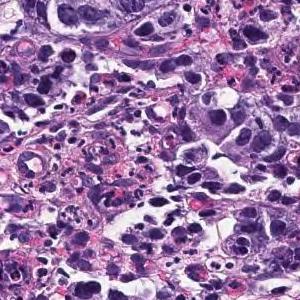
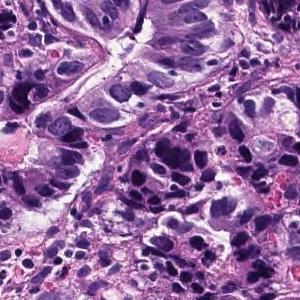
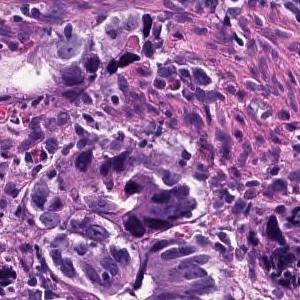
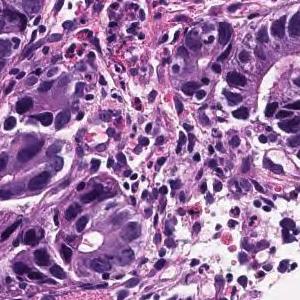
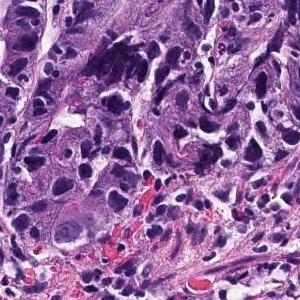
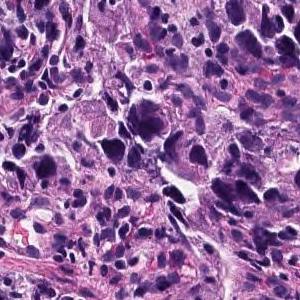
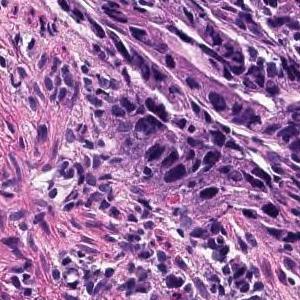
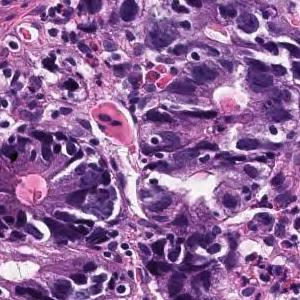
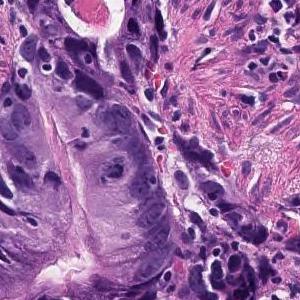
Scanned at ×20 · H&E · 9 tiles cut from one stomach biopsy slide · 300×300 px each.
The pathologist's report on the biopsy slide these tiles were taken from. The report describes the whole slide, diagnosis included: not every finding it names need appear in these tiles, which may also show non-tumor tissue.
In the superficial epithelium, tumor tissue that invades by forming medium-sized to small, irregular ducts is observed. Tumor cells are columnar or cuboidal in shape. Moderately differentiated adenocarcinoma.
Histological subtype: Moderately differentiated tubular adenocarcinoma.
